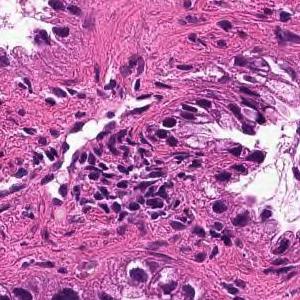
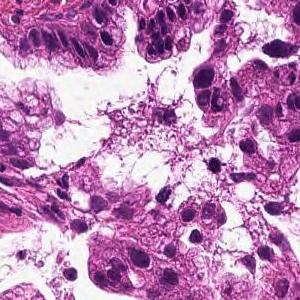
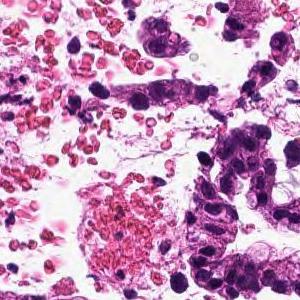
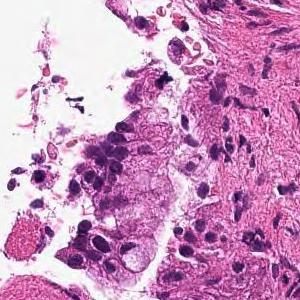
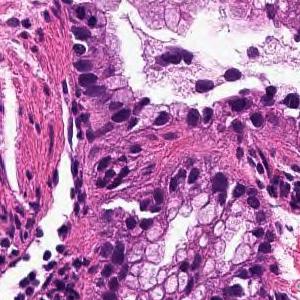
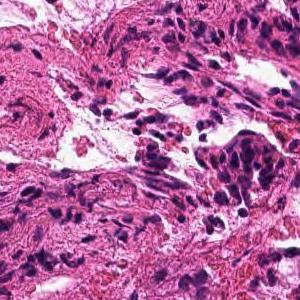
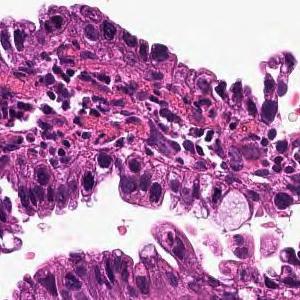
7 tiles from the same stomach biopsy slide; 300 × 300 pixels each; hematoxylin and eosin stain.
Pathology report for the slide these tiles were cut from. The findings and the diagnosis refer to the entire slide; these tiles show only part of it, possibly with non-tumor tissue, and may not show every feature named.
From the superficial epithelium to the muscularis mucosae, tumor tissue infiltrating by forming medium-sized irregular gland ducts is observed. Well differentiated tubular adenocarcinoma
